13 patches cut from one gastric biopsy slide; each 300 × 300 pixels; H&E stain.
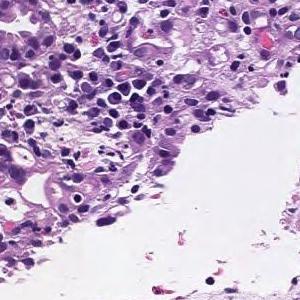
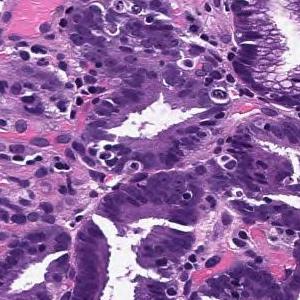
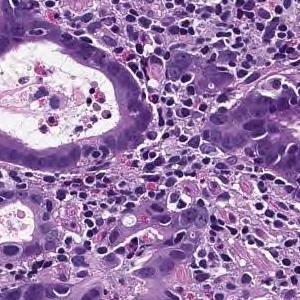
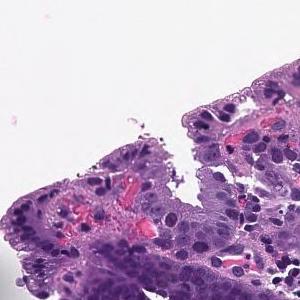
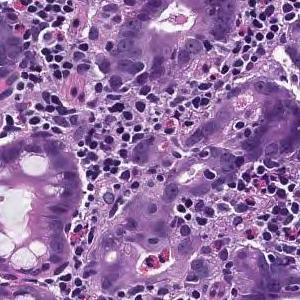
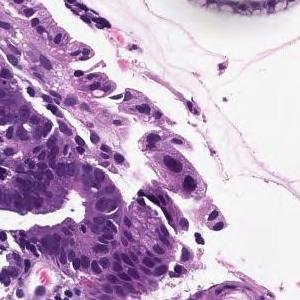
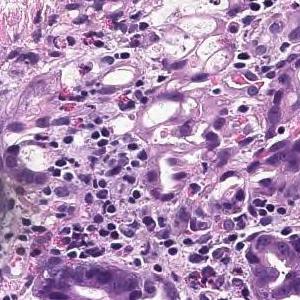
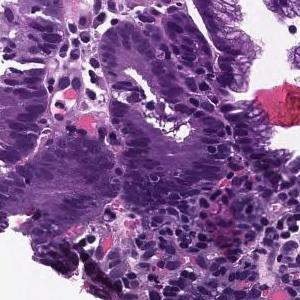
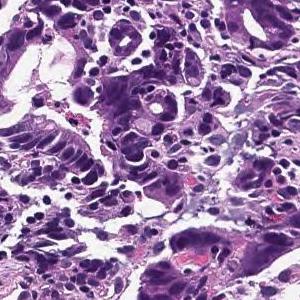
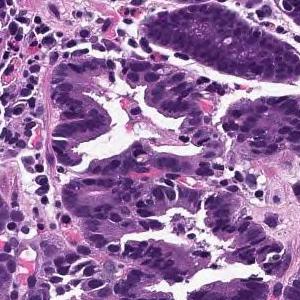
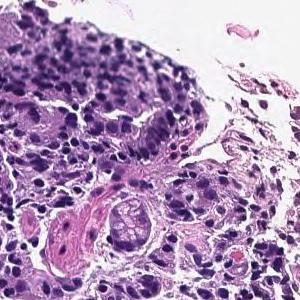
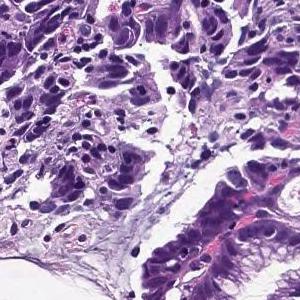
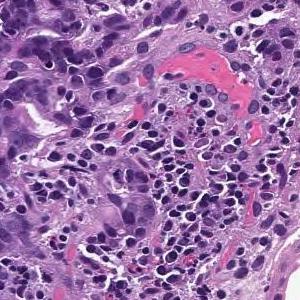
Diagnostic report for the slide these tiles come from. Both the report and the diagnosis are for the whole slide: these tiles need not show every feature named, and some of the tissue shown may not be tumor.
In the superficial epithelium, tumor tissue that invades by forming medium-sized to small, irregular ducts is observed. moderately differentiated tubular adenocarcinoma.
